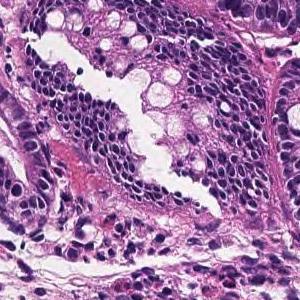
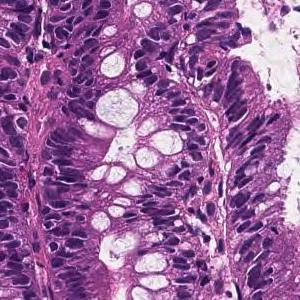
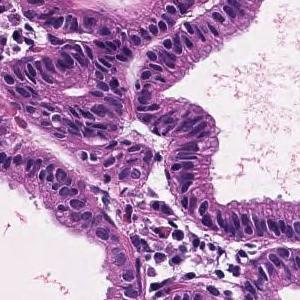
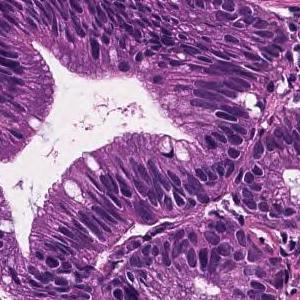
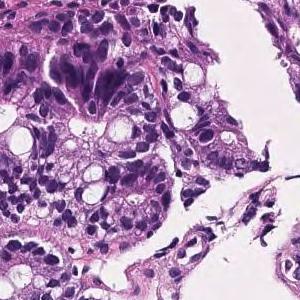
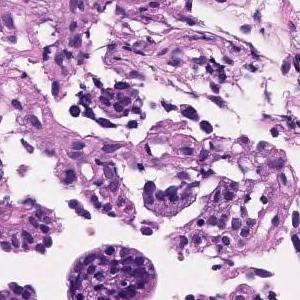
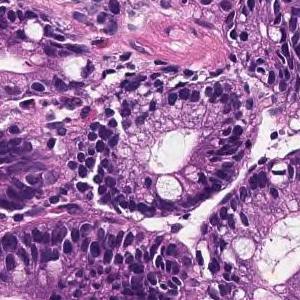
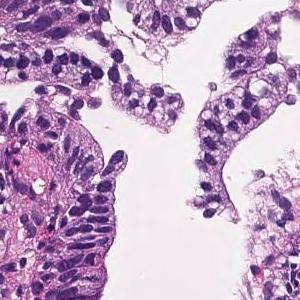
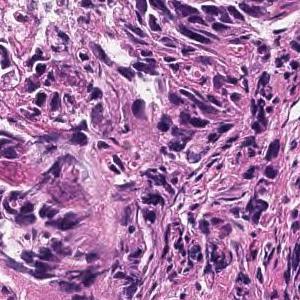
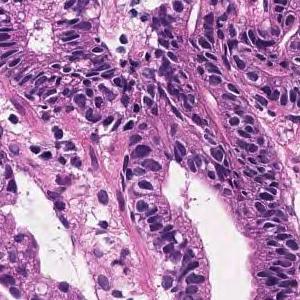
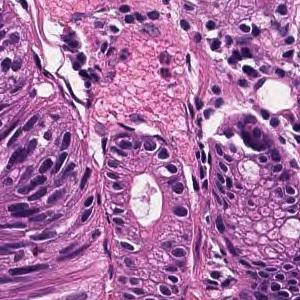
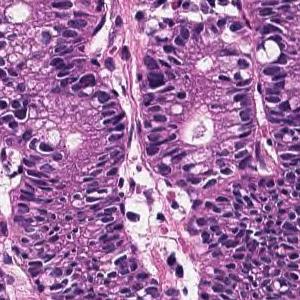
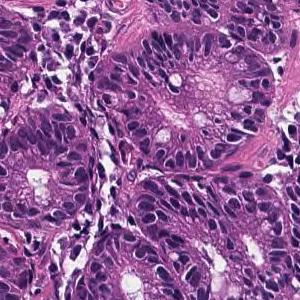
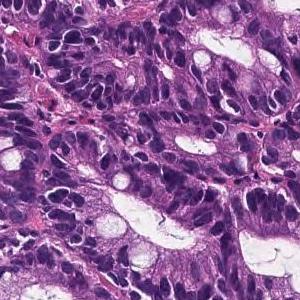
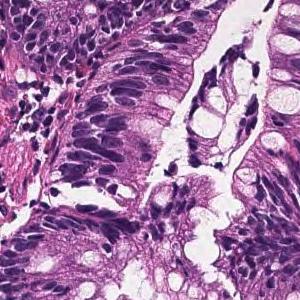
15 image tiles from a single gastric biopsy slide, 300×300 px each, hematoxylin and eosin stain, ×20.
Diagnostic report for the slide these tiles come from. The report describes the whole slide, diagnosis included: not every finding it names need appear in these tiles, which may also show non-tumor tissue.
Most remain in the superficial epithelium, forming medium-sized papillary or small irregular ducts and proliferating, and some tumor tissue invades the muscularis mucosae. Papillary adenocarcinoma
